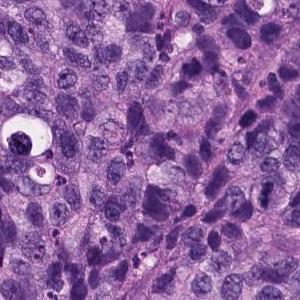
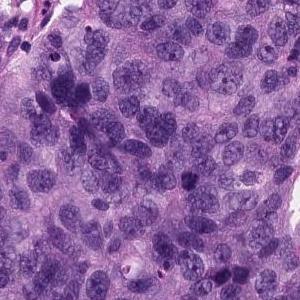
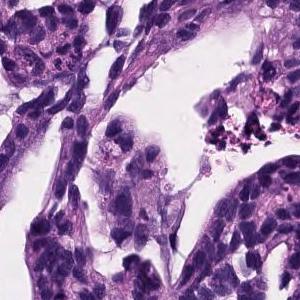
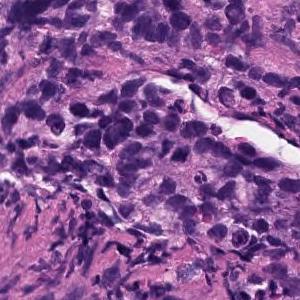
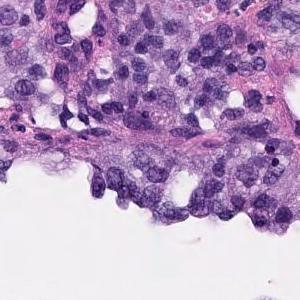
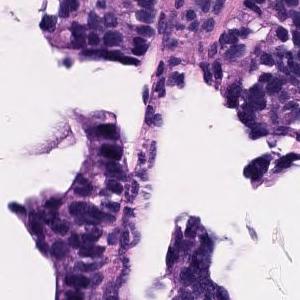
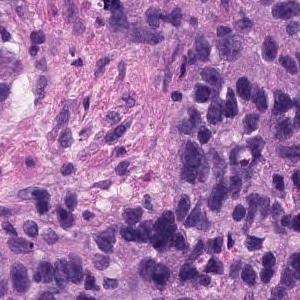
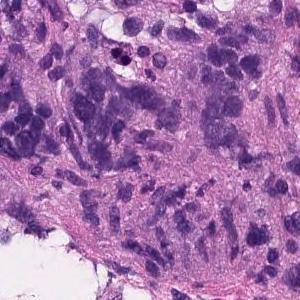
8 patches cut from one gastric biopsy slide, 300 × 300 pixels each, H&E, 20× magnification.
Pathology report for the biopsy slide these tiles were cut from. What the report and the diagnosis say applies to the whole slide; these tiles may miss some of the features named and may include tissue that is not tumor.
Atypical l cells with atypical nuclei under the mucosa growing in isolation and scattered. Poorly differentiated adenocarcinoma (poorly differentiated adenocarcinoma, non-solid type)
Histologic type: Poorly differentiated adenocarcinoma, non-solid type.
The non-solid type named here is a Japanese Classification of Gastric Carcinoma category.
